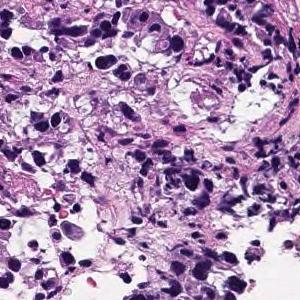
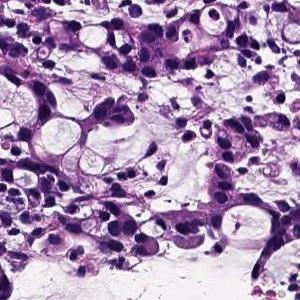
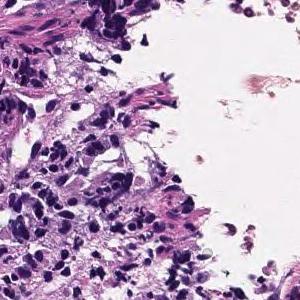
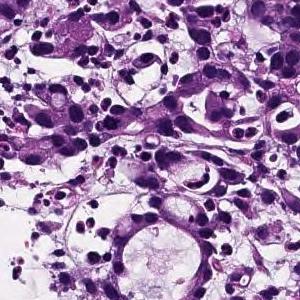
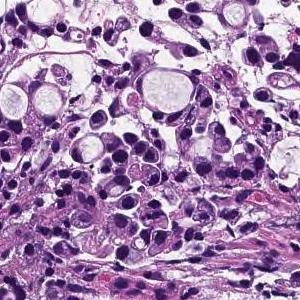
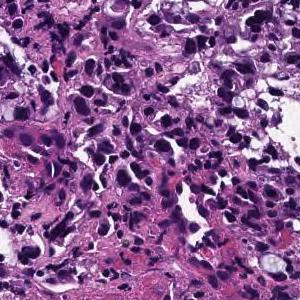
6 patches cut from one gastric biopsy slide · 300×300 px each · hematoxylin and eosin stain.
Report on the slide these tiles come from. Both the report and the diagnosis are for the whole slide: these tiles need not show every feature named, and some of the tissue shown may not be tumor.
Tumor tissue consisting of cord-like or small, irregular glandular ducts fused and infiltrated is observed in the superficial epithelium. Poorly differentiated adenocarcinoma, non-solid type
"Non-solid type" is a category of the Japanese Classification of Gastric Carcinoma.
